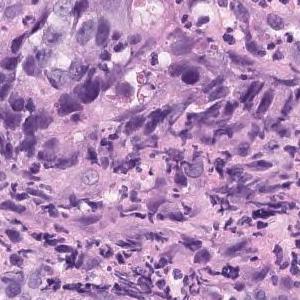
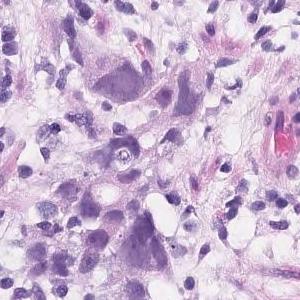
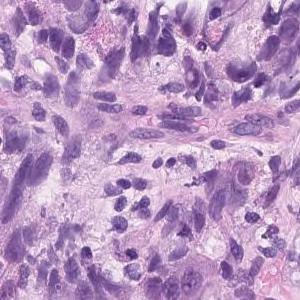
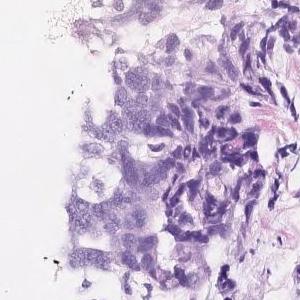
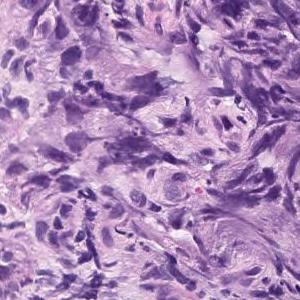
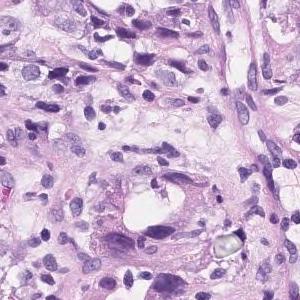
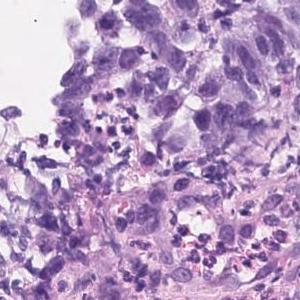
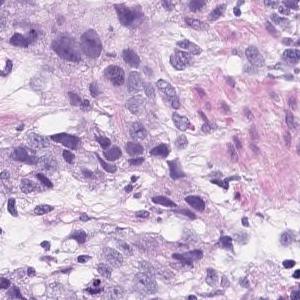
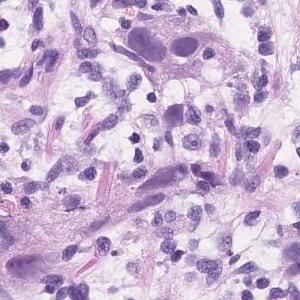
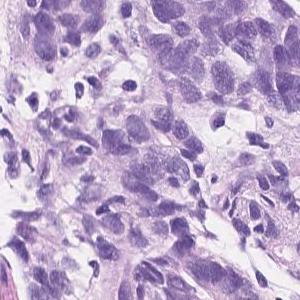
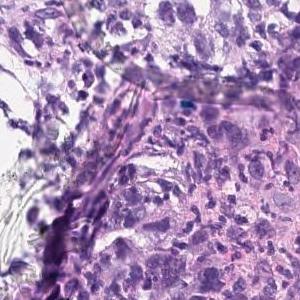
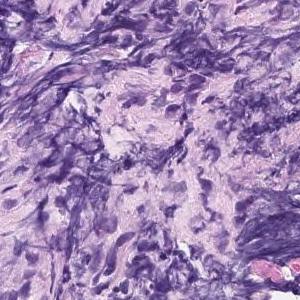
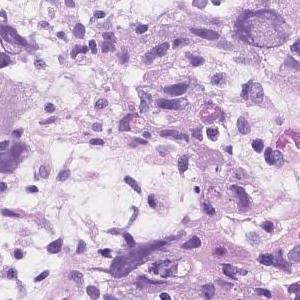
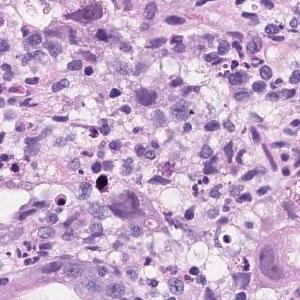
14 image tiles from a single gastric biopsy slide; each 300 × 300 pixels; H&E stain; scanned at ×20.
Pathology report for the biopsy slide these tiles were cut from. The report describes the whole slide, diagnosis included: not every finding it names need appear in these tiles, which may also show non-tumor tissue.
Atypical epithelial cells infiltrating and proliferating diffusely or while forming vesicles is observed. Poorly differentiated adenocarcinoma (poorly differentiated adenocarcinoma, solid type moderately differentiated tubular adenocarcinoma)
Dataset label: poorly differentiated adenocarcinoma, solid type. This name comes from the Japanese Classification of Gastric Carcinoma; the WHO 2019 classification calls it tubular adenocarcinoma, poorly differentiated.
